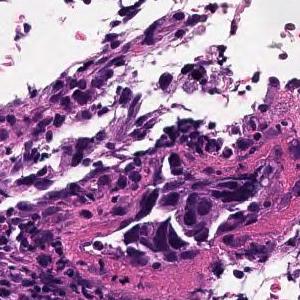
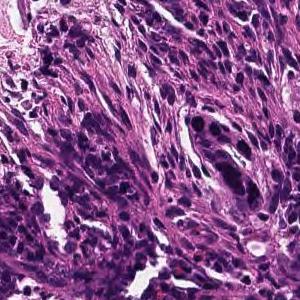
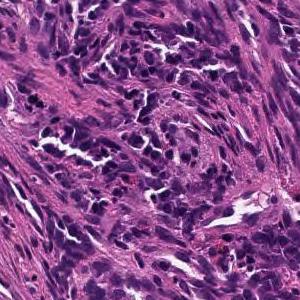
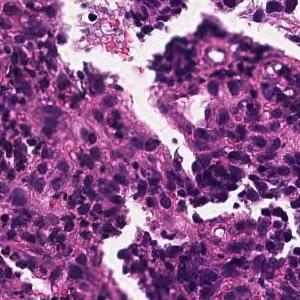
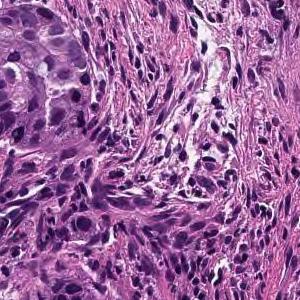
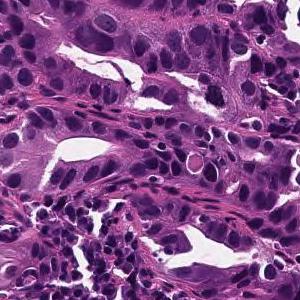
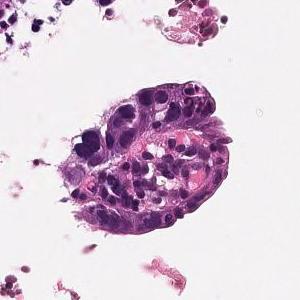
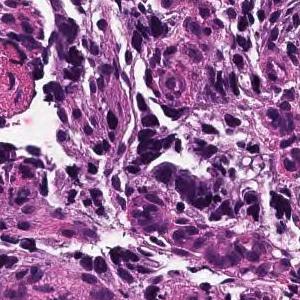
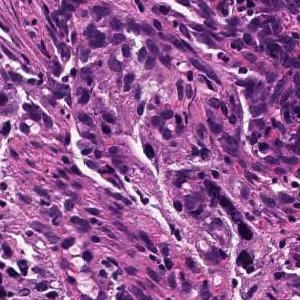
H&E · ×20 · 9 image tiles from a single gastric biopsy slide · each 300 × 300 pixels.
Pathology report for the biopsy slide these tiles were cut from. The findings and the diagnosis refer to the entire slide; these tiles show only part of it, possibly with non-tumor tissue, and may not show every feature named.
On the superficial epithelium, tumor tissue consisting of large irregular glandular ducts partially fused and infiltrated is observed. Well to moderately differentiated tubular adenocarcinoma (well differentiated tubular adenocarcinoma, moderately differentiated tubular adenocarcinoma)
Classified as well to moderately differentiated tubular adenocarcinoma.
